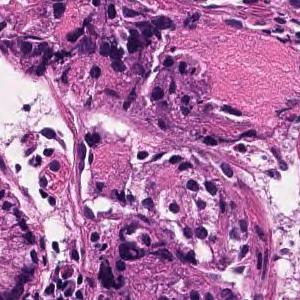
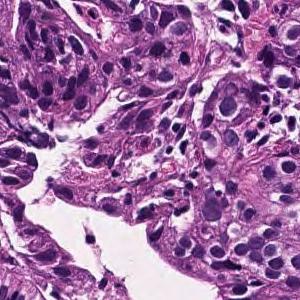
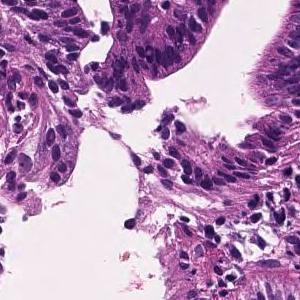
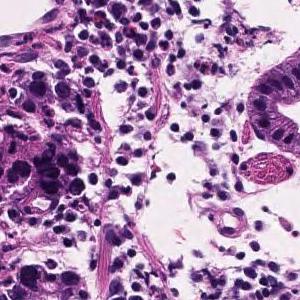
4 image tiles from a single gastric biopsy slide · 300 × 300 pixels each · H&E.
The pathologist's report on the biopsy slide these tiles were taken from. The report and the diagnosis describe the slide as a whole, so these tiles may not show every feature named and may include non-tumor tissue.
In the superficial epithelium, tumor tissue that invades by forming medium-sized to small, irregular ducts is observed. moderately differentiated tubular adenocarcinoma.
